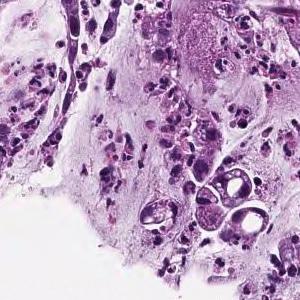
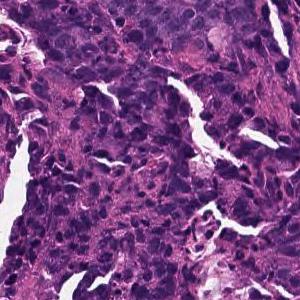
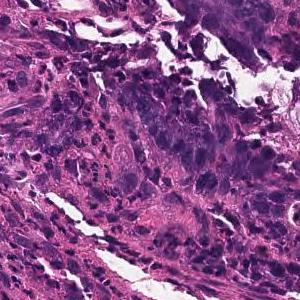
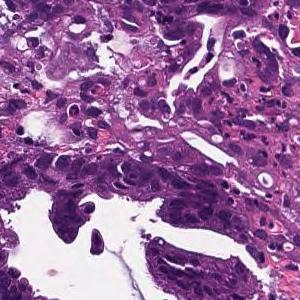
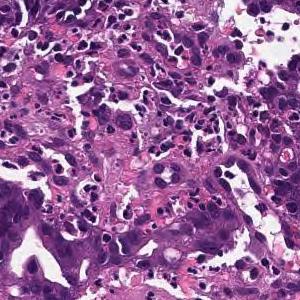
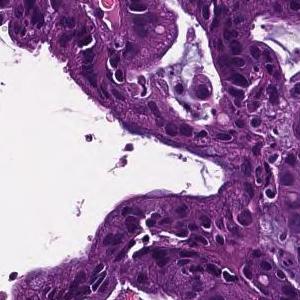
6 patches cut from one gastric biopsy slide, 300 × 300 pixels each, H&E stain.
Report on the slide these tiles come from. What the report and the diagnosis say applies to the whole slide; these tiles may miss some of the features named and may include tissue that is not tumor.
On the superficial epithelium, tumor tissue consisting of large irregular glandular ducts partially fused and infiltrated is observed. Well to moderately differentiated tubular adenocarcinoma (well differentiated tubular adenocarcinoma, moderately differentiated tubular adenocarcinoma)
Histological subtype: Well to moderately differentiated tubular adenocarcinoma.
